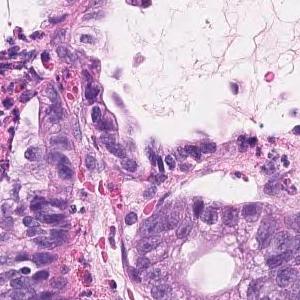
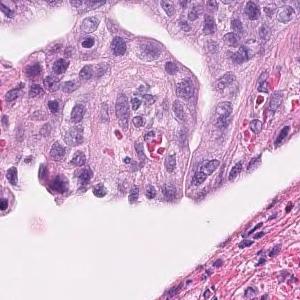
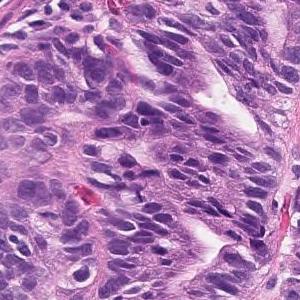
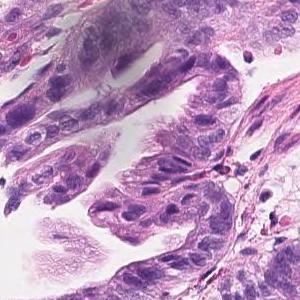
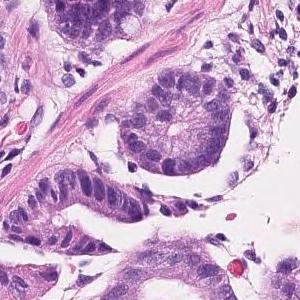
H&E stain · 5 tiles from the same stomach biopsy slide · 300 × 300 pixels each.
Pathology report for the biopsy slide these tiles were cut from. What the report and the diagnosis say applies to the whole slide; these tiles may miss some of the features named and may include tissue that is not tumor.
Tumor cells are large, highly columnar, large club-shaped nuclei, and are associated with chromatin aggregation. Papillary adenocarcinoma.
